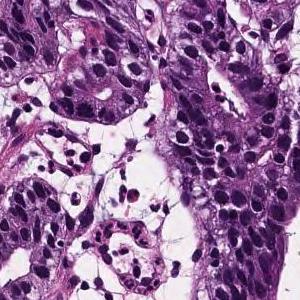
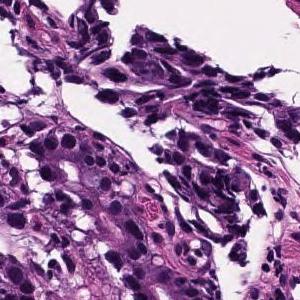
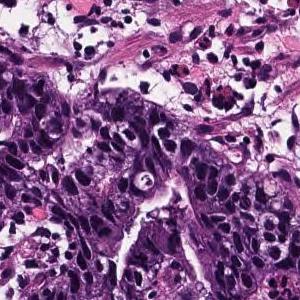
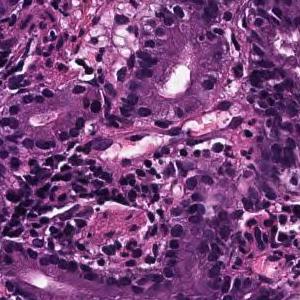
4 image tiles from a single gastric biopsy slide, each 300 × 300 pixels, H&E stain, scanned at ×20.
Pathology report for the biopsy slide these tiles were cut from. Both the report and the diagnosis are for the whole slide: these tiles need not show every feature named, and some of the tissue shown may not be tumor.
Atypical l cells with atypical nuclei forming diffuse or small irregular atypical ducts and growing. Moderately to poorly differentiated adenocarcinoma (poorly differentiated adenocarcinoma, solid type moderately differentiated tubular adenocarcinoma)
Histological subtype: Moderately to poorly differentiated adenocarcinoma.
The solid type named here is a Japanese Classification of Gastric Carcinoma category; WHO 2019 calls it tubular adenocarcinoma, poorly differentiated.
